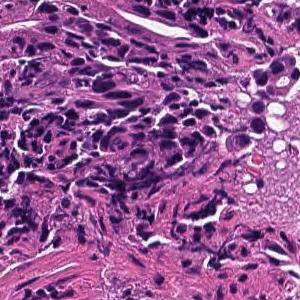
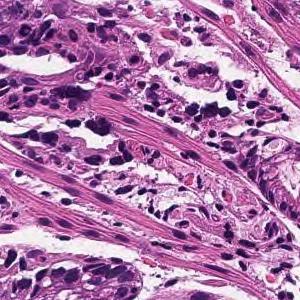
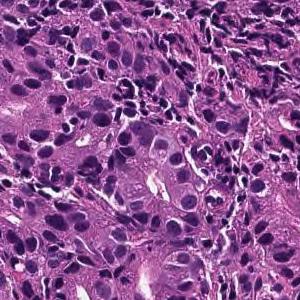
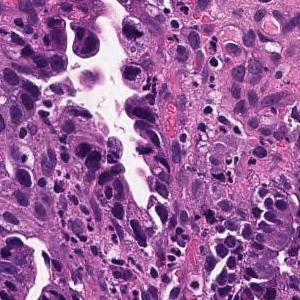
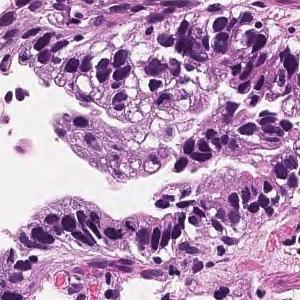
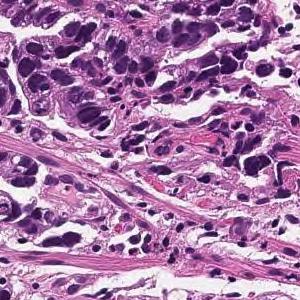
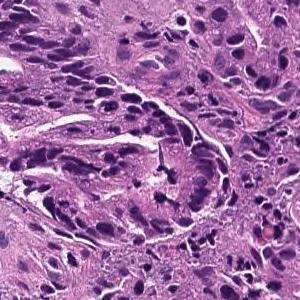
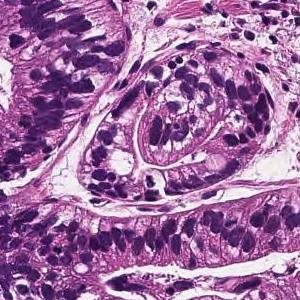
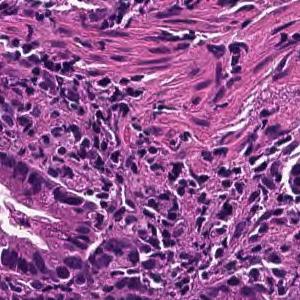
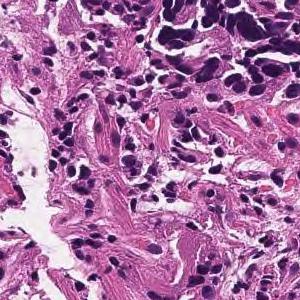
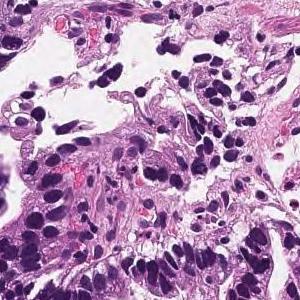
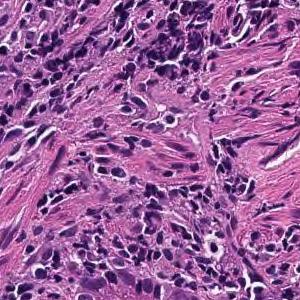
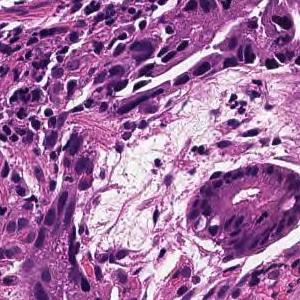
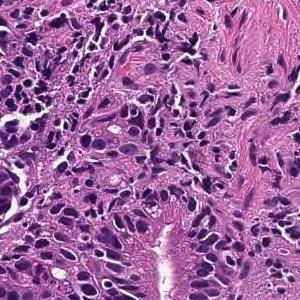
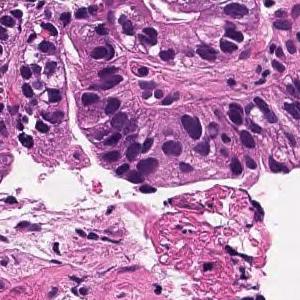
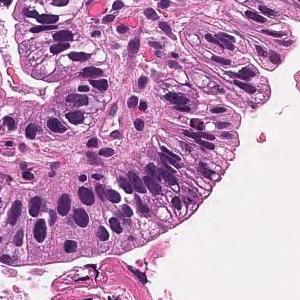
16 tiles cut from one stomach biopsy slide; each 300 × 300 pixels; scanned at ×20; hematoxylin and eosin stain.
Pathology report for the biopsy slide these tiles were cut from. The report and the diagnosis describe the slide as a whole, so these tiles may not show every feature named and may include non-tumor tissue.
On the superficial epithelium, tumor tissue is found in which medium-sized irregular gland ducts fuse with each other and infiltrate. moderately differentiated tubular adenocarcinoma or Poorly differentiated adenocarcinoma, non-solid type
Classified as moderately to poorly differentiated adenocarcinoma.
The term "non-solid type" comes from the Japanese Classification of Gastric Carcinoma.
